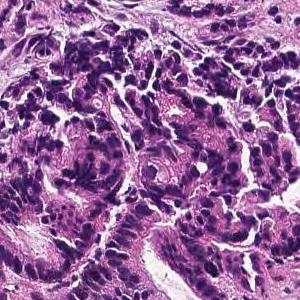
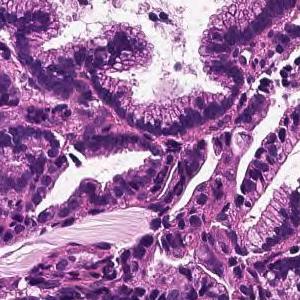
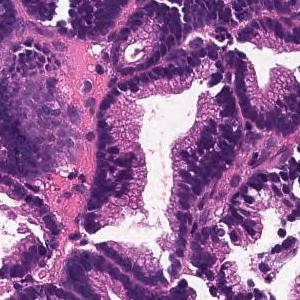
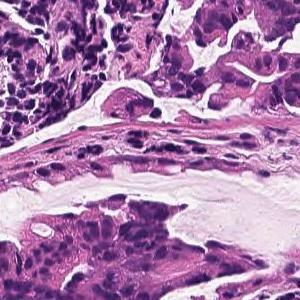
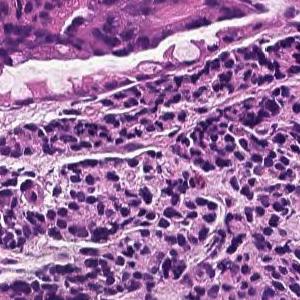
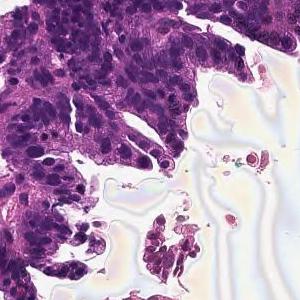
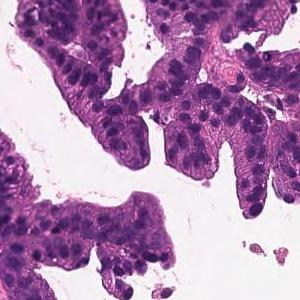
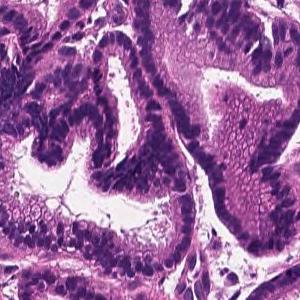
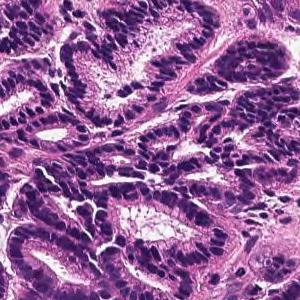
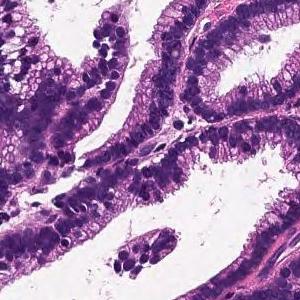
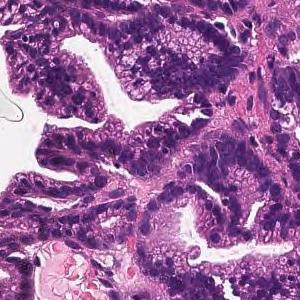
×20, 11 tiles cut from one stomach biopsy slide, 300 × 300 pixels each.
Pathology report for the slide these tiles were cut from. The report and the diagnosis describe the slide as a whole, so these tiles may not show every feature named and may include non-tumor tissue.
On the superficial epithelium, tumor tissue consisting of large irregular glandular ducts partially fused and infiltrated is observed. Well to moderately differentiated tubular adenocarcinoma (well differentiated tubular adenocarcinoma, moderately differentiated tubular adenocarcinoma)
Subtype: Well to moderately differentiated tubular adenocarcinoma.
